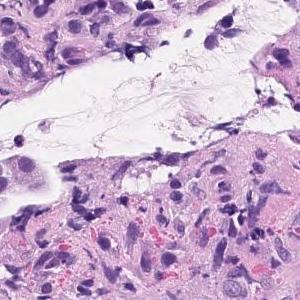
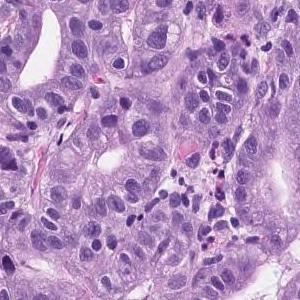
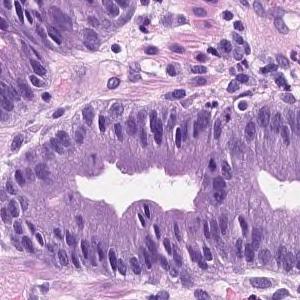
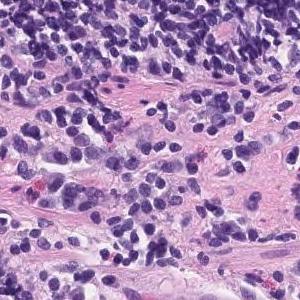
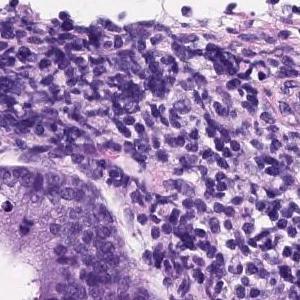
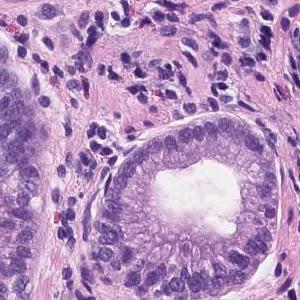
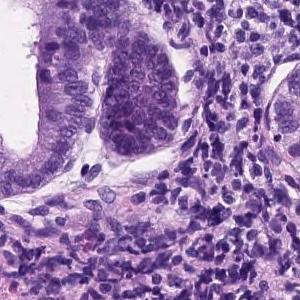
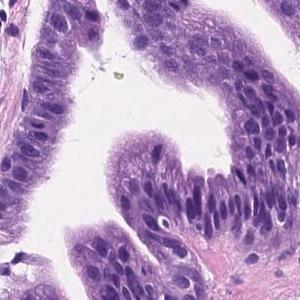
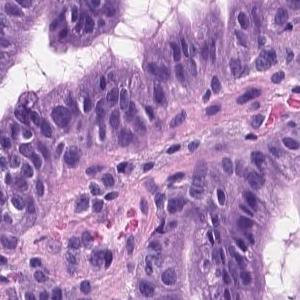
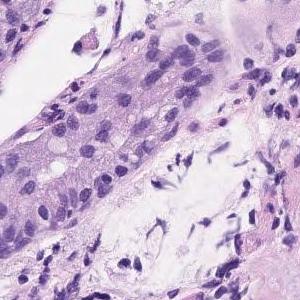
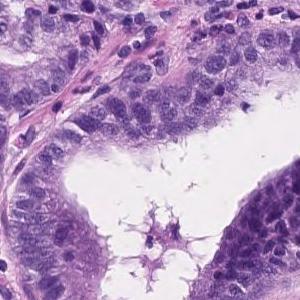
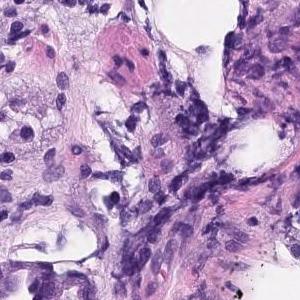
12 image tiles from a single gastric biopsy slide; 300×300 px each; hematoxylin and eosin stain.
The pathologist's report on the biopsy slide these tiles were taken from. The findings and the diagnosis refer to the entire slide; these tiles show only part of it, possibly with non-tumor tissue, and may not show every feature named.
Tumor tissue consisting of medium-sized and irregular ducts is observed infiltrating in the superficial epithelium. Tumor cells are highly columnar, with nuclei aligned basolaterally and polarized. Well differentiated tubular adenocarcinoma.
